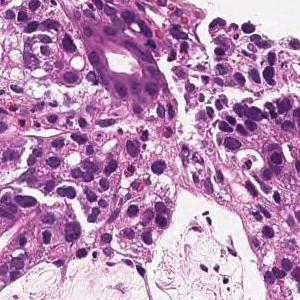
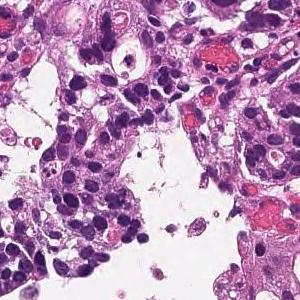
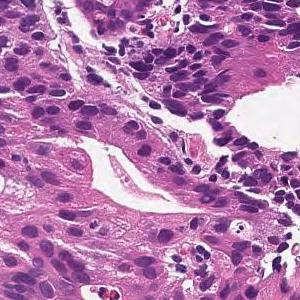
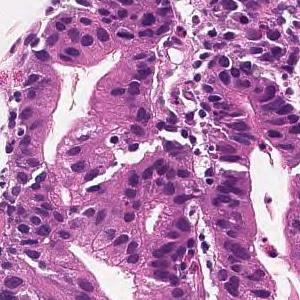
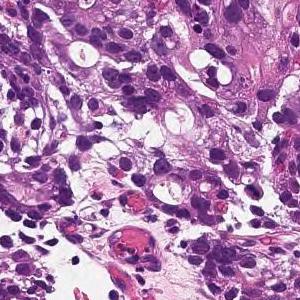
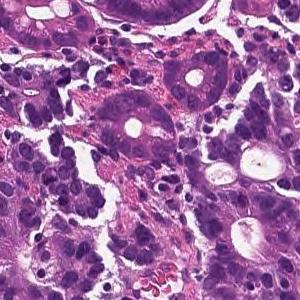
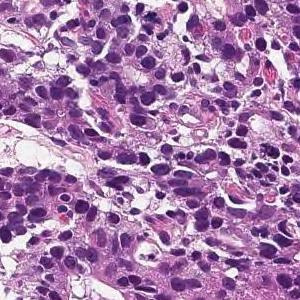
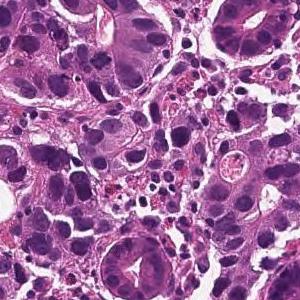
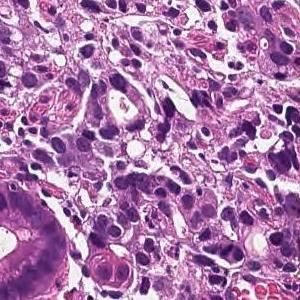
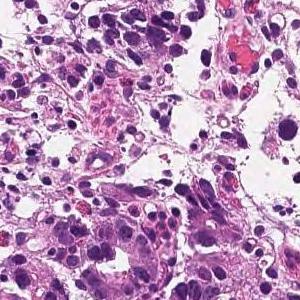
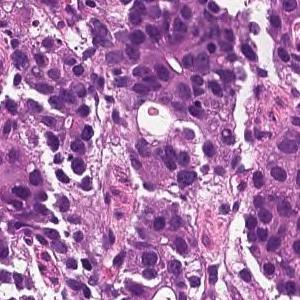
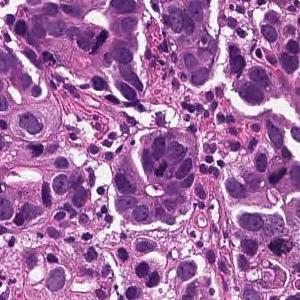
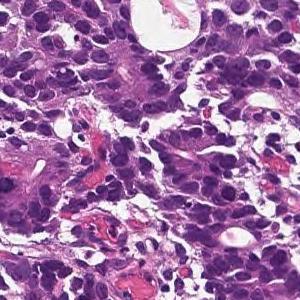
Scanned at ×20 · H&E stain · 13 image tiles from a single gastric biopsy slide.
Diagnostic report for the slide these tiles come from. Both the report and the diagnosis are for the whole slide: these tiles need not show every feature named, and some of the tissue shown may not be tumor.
On the superficial epithelium, tumor tissue is found in which medium-sized irregular gland ducts fuse with each other and infiltrate. moderately differentiated tubular adenocarcinoma
